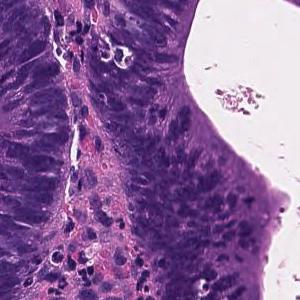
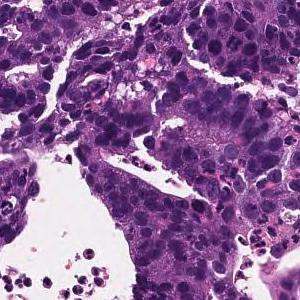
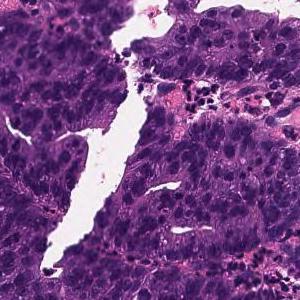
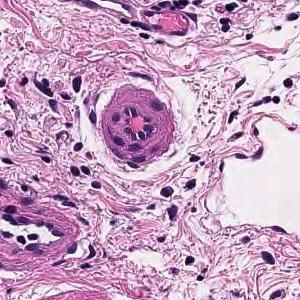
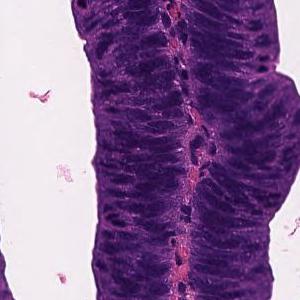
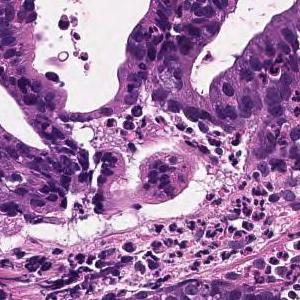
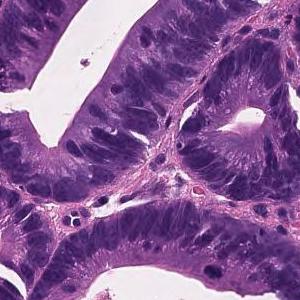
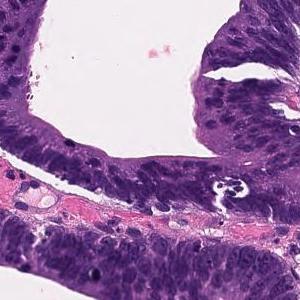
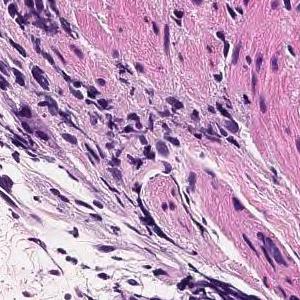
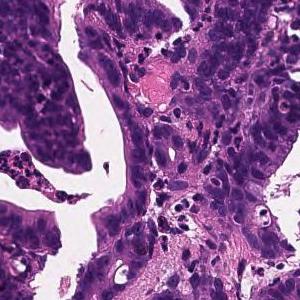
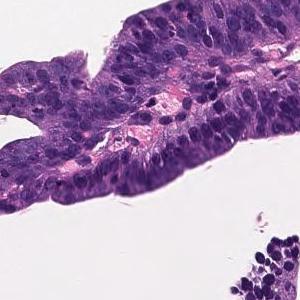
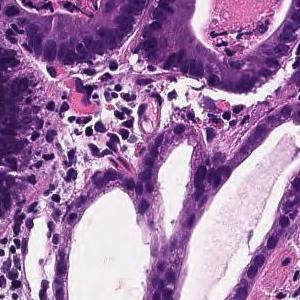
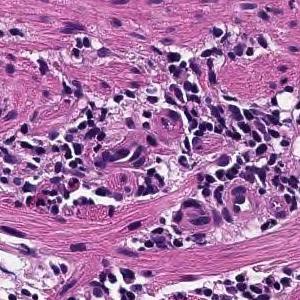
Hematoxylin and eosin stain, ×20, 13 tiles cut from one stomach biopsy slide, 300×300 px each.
Pathology report for the biopsy slide these tiles were cut from. The findings and the diagnosis refer to the entire slide; these tiles show only part of it, possibly with non-tumor tissue, and may not show every feature named.
Tumor tissue consisting of large papillary structures is found in the superficial epithelium. Papillary adenocarcinoma.
